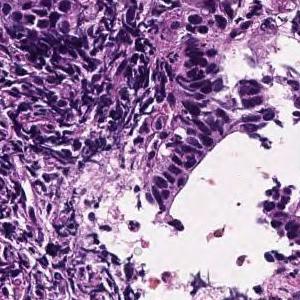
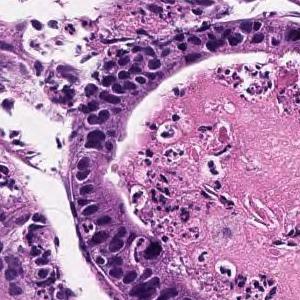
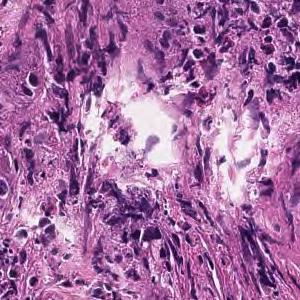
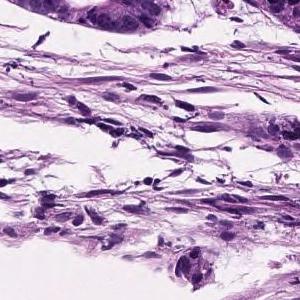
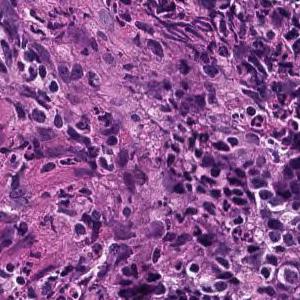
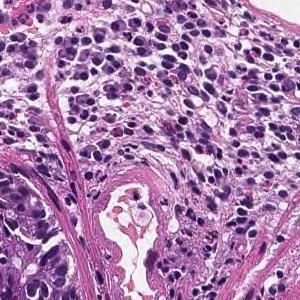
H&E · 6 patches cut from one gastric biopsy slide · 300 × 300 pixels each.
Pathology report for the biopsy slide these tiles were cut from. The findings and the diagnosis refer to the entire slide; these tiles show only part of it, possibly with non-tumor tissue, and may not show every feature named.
On the superficial epithelium, tumor tissue consisting of large, irregular glandular ducts partially fused and infiltrated is observed. Well to moderately differentiated tubular adenocarcinoma (well differentiated tubular adenocarcinoma, moderately differentiated tubular adenocarcinoma)
Classified as well to moderately differentiated tubular adenocarcinoma.
